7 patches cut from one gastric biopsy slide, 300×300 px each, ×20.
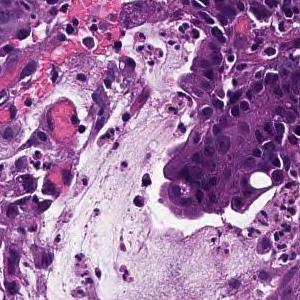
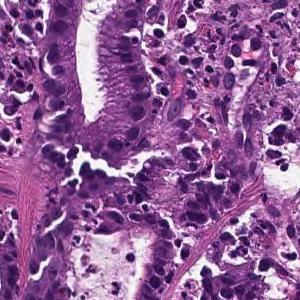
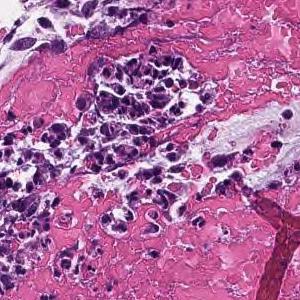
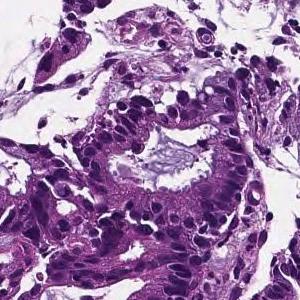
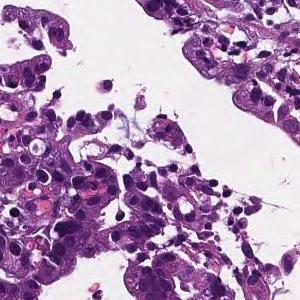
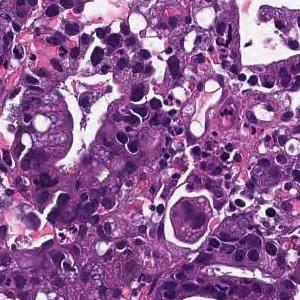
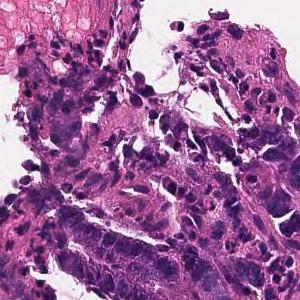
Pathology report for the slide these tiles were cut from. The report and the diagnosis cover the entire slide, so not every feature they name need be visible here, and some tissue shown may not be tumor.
On the superficial epithelium, tumor tissue consisting of large irregular glandular ducts partially fused and infiltrated is observed. Well to moderately differentiated tubular adenocarcinoma (well differentiated tubular adenocarcinoma, moderately differentiated tubular adenocarcinoma)
Classified as well to moderately differentiated tubular adenocarcinoma.
